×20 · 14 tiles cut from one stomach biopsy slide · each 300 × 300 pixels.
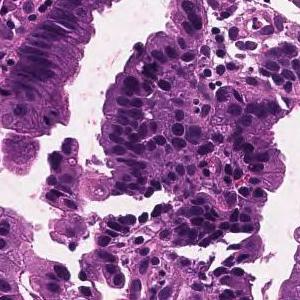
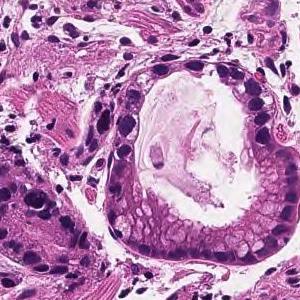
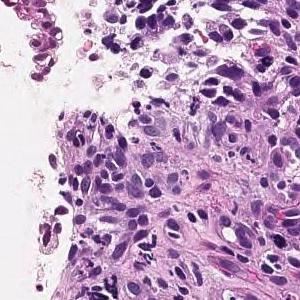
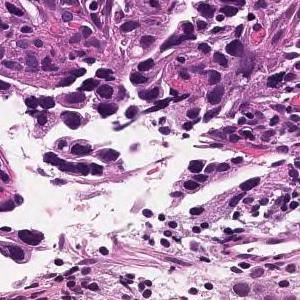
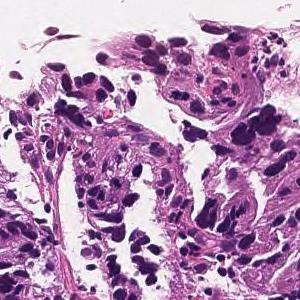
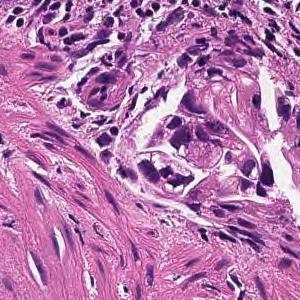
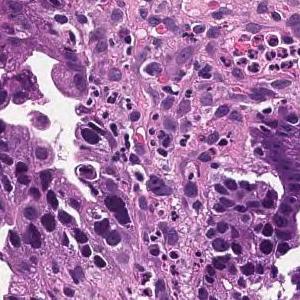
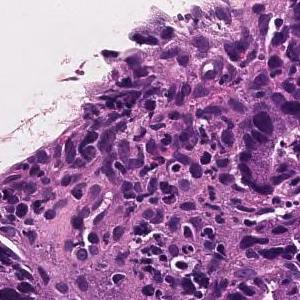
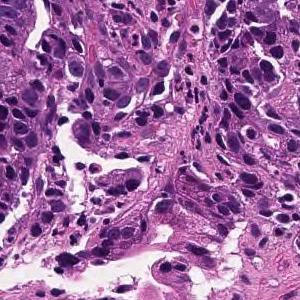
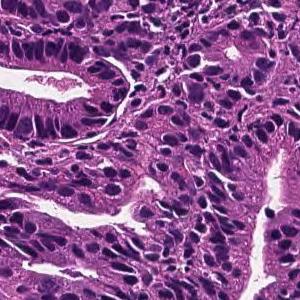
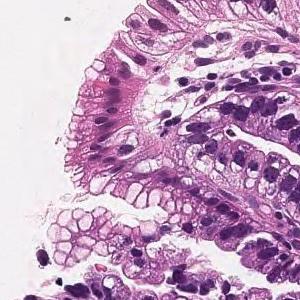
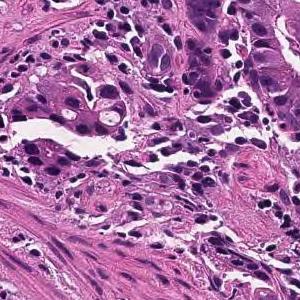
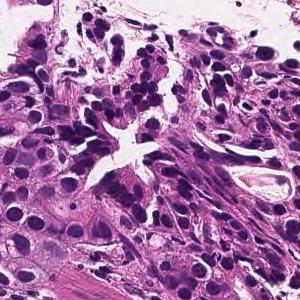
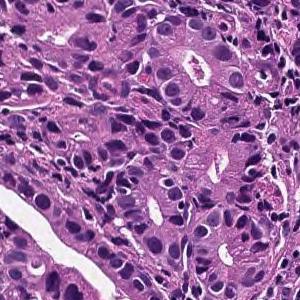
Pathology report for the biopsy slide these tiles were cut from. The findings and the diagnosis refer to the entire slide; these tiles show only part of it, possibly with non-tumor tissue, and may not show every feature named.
On the superficial epithelium, tumor tissue is found in which medium-sized irregular gland ducts fuse with each other and infiltrate. moderately differentiated tubular adenocarcinoma or Poorly differentiated adenocarcinoma, non-solid type
Histological subtype: Moderately to poorly differentiated adenocarcinoma.
The non-solid type named here is a Japanese Classification of Gastric Carcinoma category.
